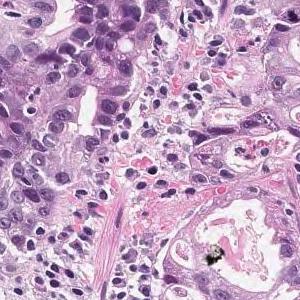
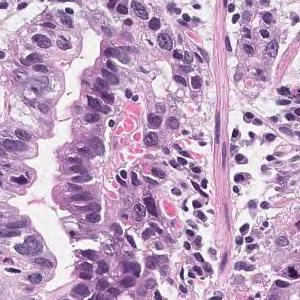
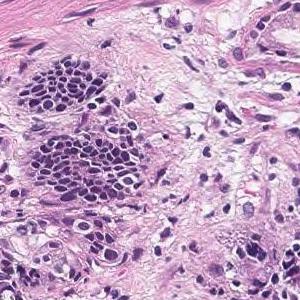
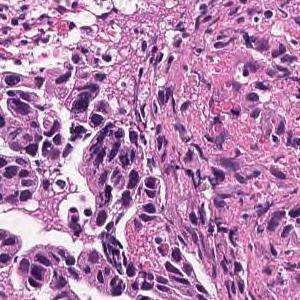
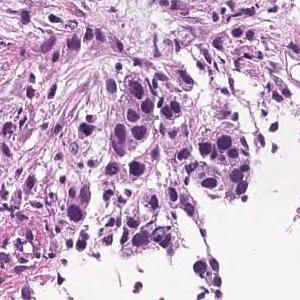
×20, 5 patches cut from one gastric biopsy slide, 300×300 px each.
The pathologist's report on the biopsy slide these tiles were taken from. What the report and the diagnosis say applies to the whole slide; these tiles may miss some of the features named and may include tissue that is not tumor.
Tumor cells are large, highly columnar, large club-shaped nuclei, and are associated with chromatin aggregation. Papillary adenocarcinoma.
